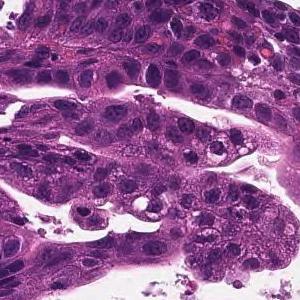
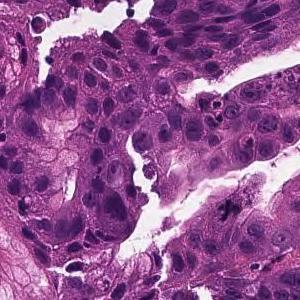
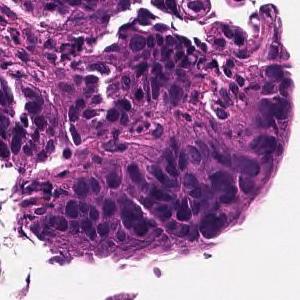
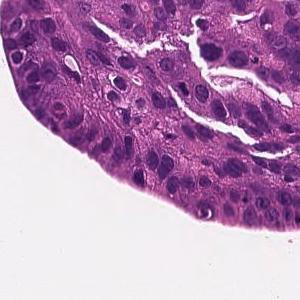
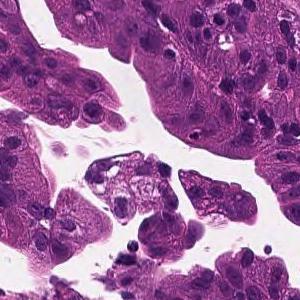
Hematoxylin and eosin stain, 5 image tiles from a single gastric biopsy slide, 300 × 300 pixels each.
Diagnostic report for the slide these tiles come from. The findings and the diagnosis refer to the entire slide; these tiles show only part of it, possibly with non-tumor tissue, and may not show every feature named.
On the superficial epithelium, tumor tissue is found in which medium-sized irregular gland ducts fuse with each other and infiltrate. moderately differentiated tubular adenocarcinoma
